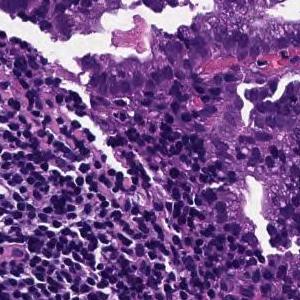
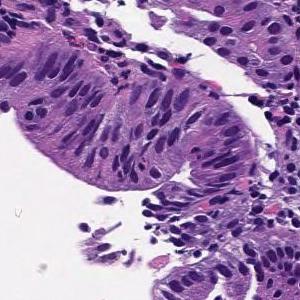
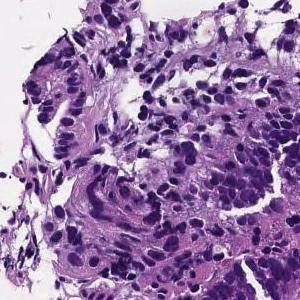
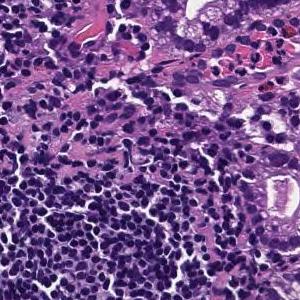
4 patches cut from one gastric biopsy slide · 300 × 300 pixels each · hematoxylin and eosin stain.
The pathologist's report on the biopsy slide these tiles were taken from. What the report and the diagnosis say applies to the whole slide; these tiles may miss some of the features named and may include tissue that is not tumor.
From the superficial epithelium to the muscularis mucosae, tumor tissue consisting of medium-sized and irregular glandular ducts infiltrating is observed. Well differentiated tubular adenocarcinoma
